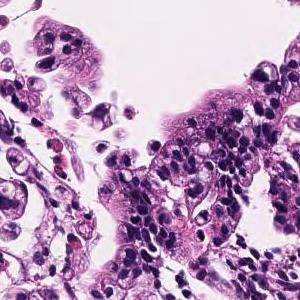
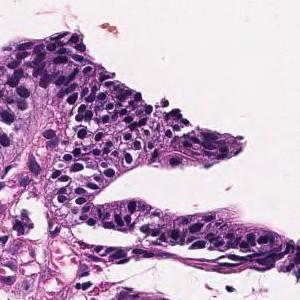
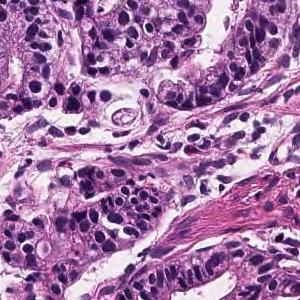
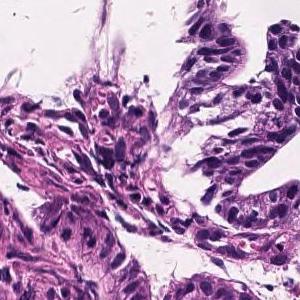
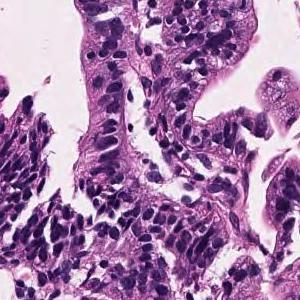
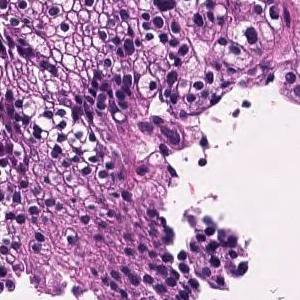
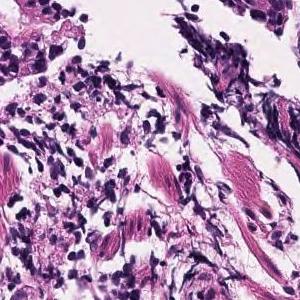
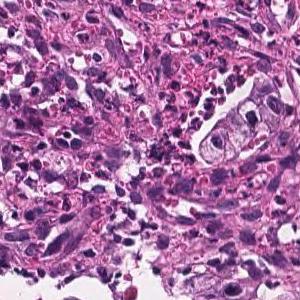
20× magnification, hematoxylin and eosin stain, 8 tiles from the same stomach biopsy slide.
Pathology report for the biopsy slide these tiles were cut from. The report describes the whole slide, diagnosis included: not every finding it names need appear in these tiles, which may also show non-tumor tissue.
Tumor tissue consisting of large papillary structures or irregular glandular ducts partially fused and infiltrated is observed in the superficial epithelium. Well to moderately differentiated tubular adenocarcinoma.
Labeled in the dataset as moderately differentiated tubular adenocarcinoma.
